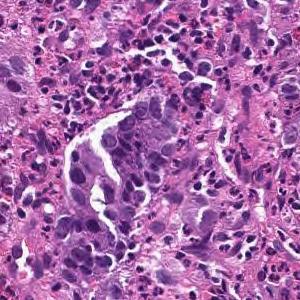
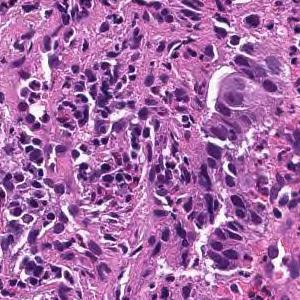
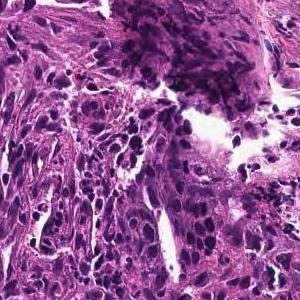
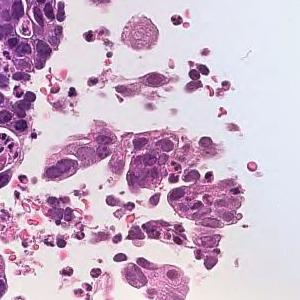
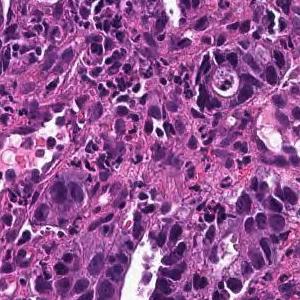
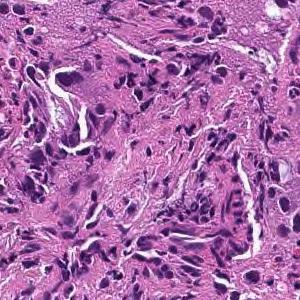
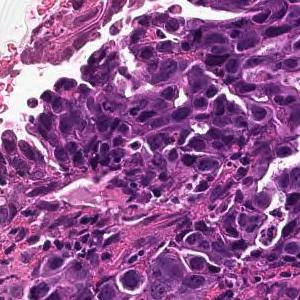
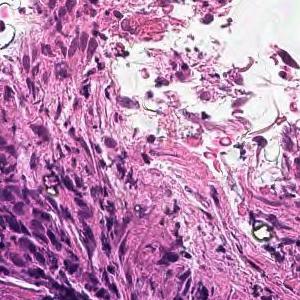
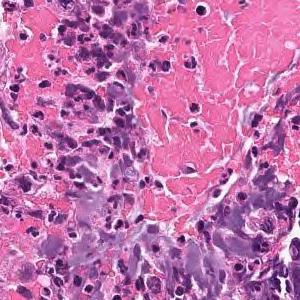
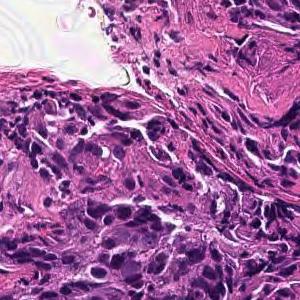
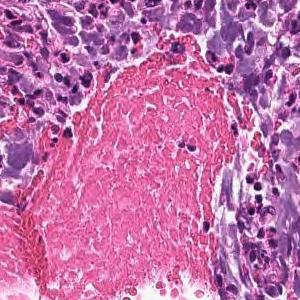
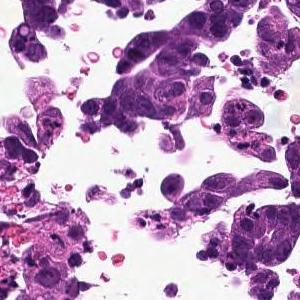
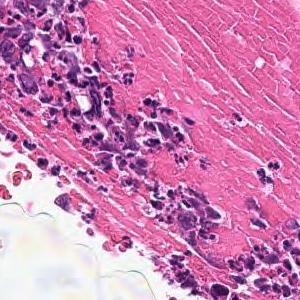
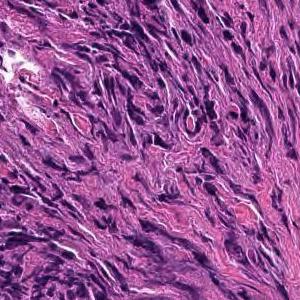
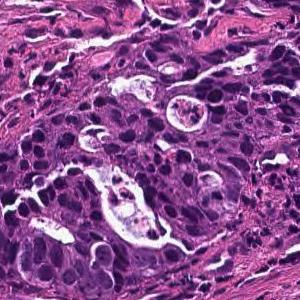
Scanned at ×20 · hematoxylin and eosin stain · 15 tiles cut from one stomach biopsy slide · 300×300 px each.
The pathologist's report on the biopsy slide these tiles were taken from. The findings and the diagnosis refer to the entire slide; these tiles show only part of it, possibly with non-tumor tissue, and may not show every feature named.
In the superficial epithelium, tumor tissue that invades by forming medium-sized to small, irregular ducts is observed. moderately differentiated tubular adenocarcinoma.
